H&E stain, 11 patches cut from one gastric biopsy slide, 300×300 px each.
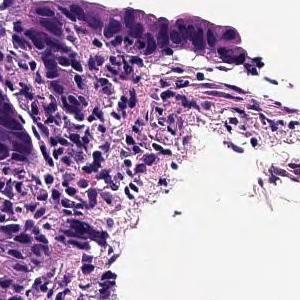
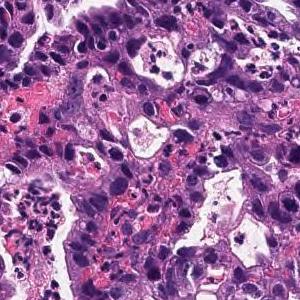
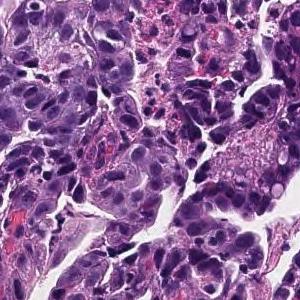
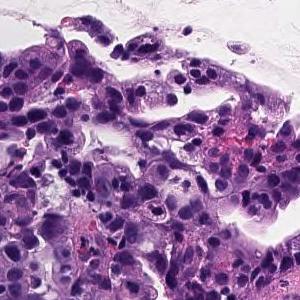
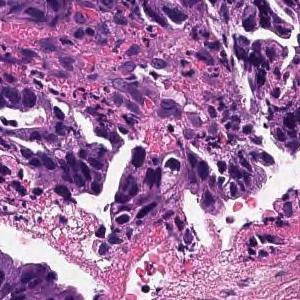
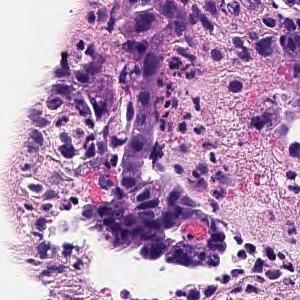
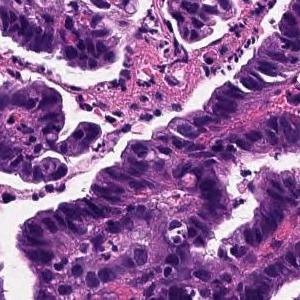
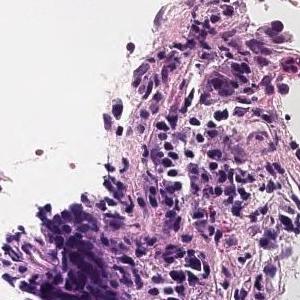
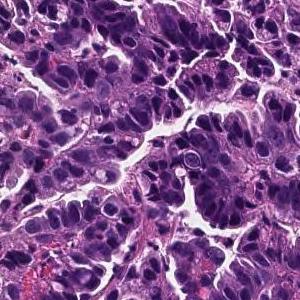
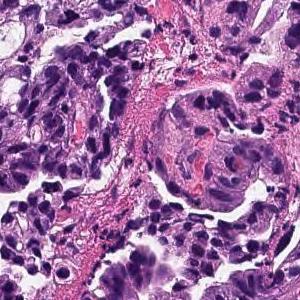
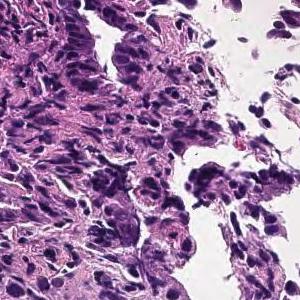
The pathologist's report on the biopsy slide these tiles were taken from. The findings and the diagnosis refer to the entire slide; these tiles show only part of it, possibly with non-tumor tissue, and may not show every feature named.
Infiltrating tumor tissue is observed in the superficial epithelium, showing large papillary structures or large and small ducts. Papillary adenocarcinoma
